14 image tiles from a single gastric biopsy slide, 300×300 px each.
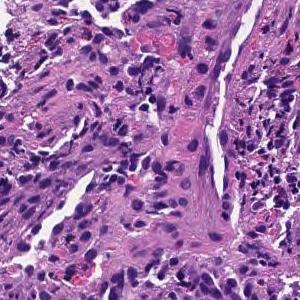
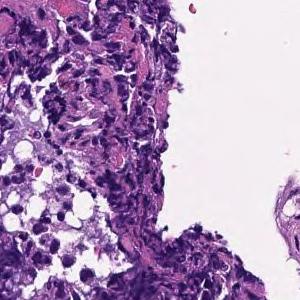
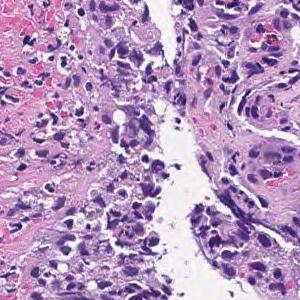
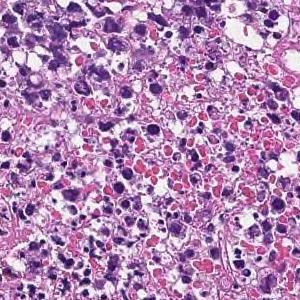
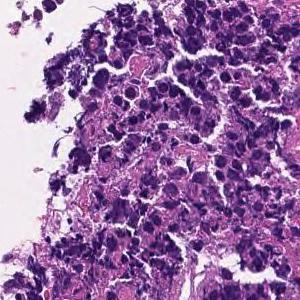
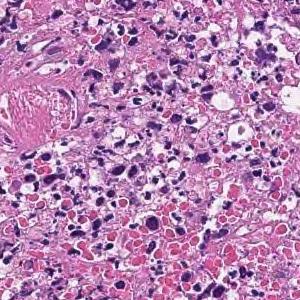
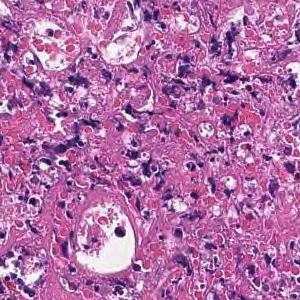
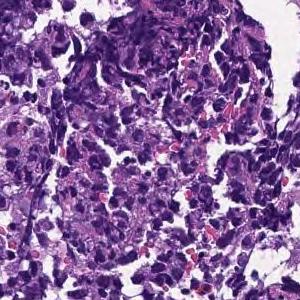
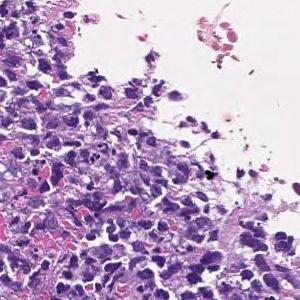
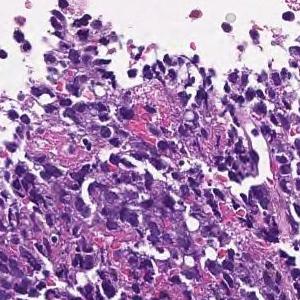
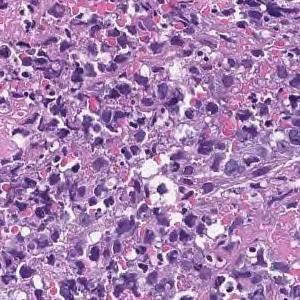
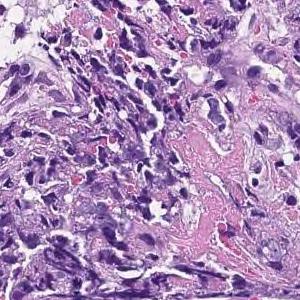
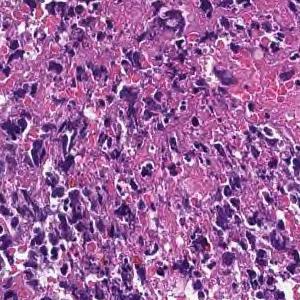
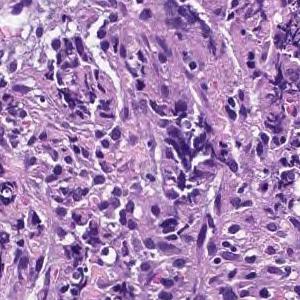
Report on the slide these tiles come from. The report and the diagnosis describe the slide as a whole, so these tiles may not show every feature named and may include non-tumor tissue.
Most are composed of coagulative necrotic tissue, but some show a large sheet-like shape, and some show tumor tissue infiltrating with a small cord-like structure. Poorly differentiated adenocarcinoma, solid-type
Histological subtype: Poorly differentiated adenocarcinoma, solid type. This name comes from the Japanese Classification of Gastric Carcinoma; the WHO 2019 classification calls it tubular adenocarcinoma, poorly differentiated.
